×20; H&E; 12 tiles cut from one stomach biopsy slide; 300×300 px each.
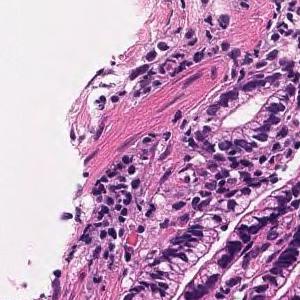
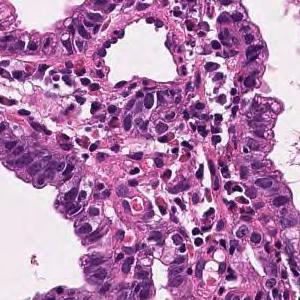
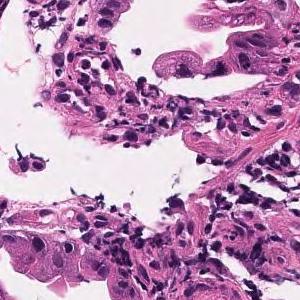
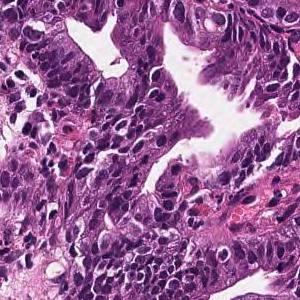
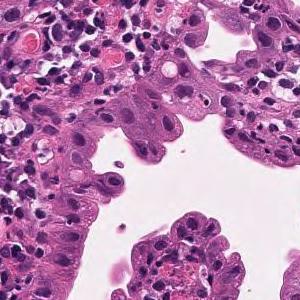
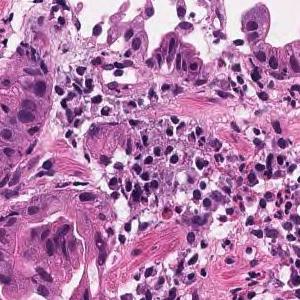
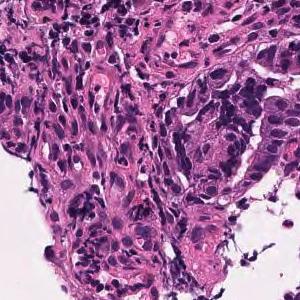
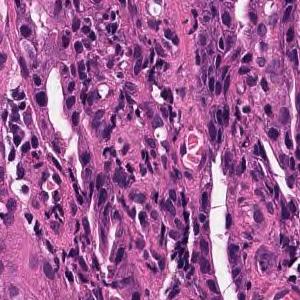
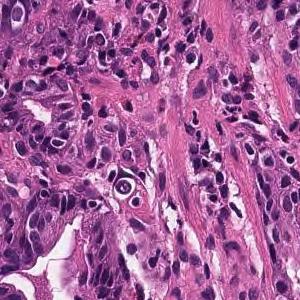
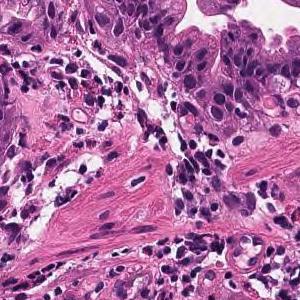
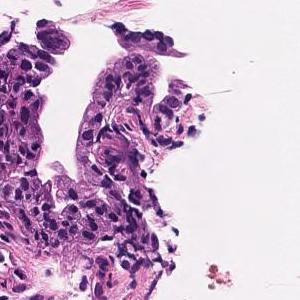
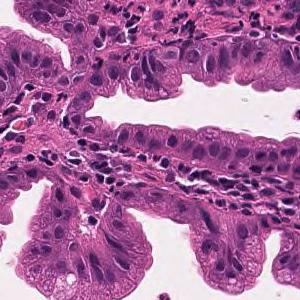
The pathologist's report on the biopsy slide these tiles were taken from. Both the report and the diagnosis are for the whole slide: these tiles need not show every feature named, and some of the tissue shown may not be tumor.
Tumor tissue in which medium to small irregular ducts infiltrate and proliferate in the submucosa can be seen in the epithelium. Well differentiated tubular adenocarcinoma
